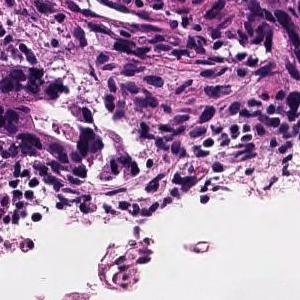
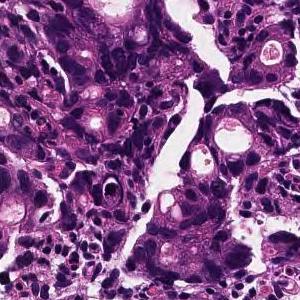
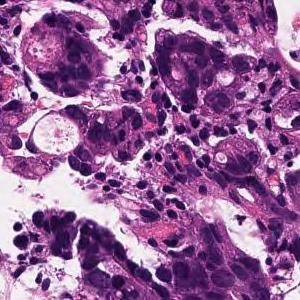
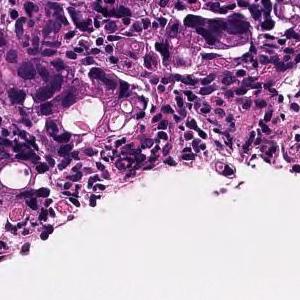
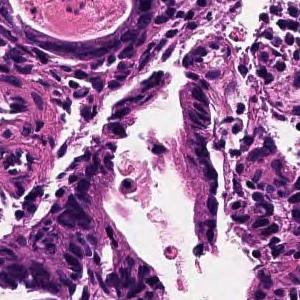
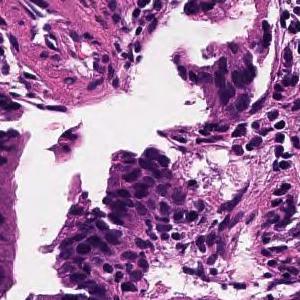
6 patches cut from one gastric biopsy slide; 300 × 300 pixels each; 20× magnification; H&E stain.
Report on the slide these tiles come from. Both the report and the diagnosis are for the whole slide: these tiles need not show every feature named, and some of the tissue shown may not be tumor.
In the superficial epithelium, tumor tissue that invades by forming medium-sized to small, irregular ducts is observed. moderately differentiated tubular adenocarcinoma.
